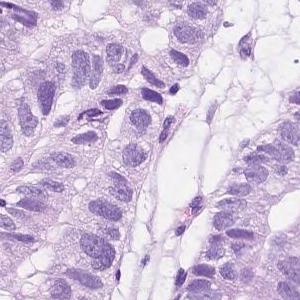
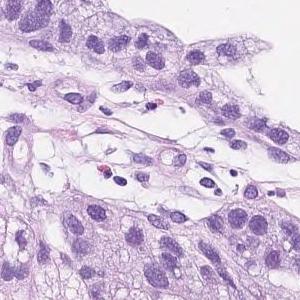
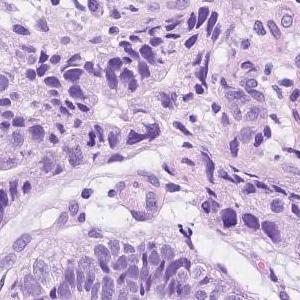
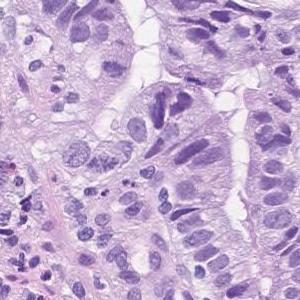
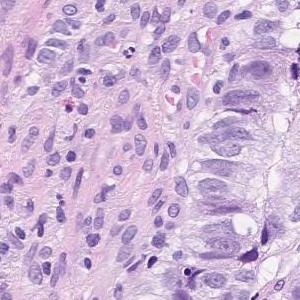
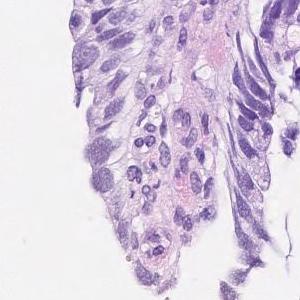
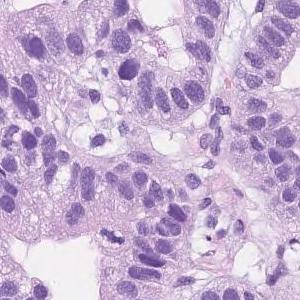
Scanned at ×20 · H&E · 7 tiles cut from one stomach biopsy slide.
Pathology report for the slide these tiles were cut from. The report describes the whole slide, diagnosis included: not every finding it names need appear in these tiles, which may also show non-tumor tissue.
Atypical l cells with atypical nuclei forming solid or diffuse vesicles or small irregular atypical ducts and growing in a complex manner. moderately differentiated tubular adenocarcinoma
